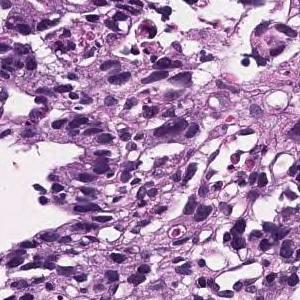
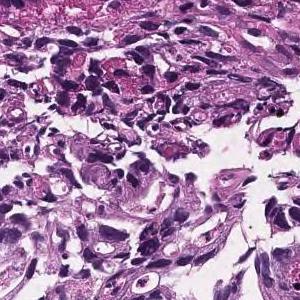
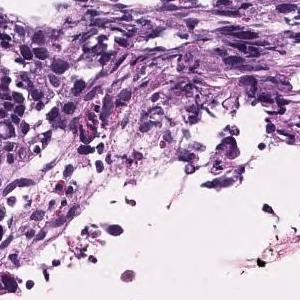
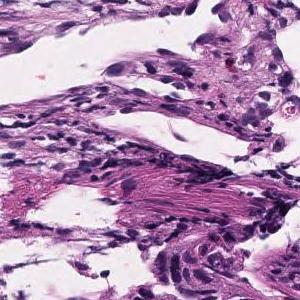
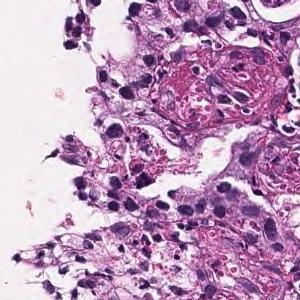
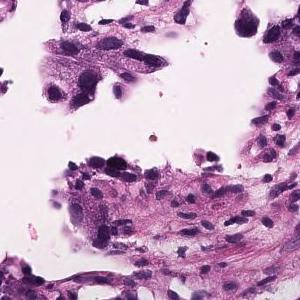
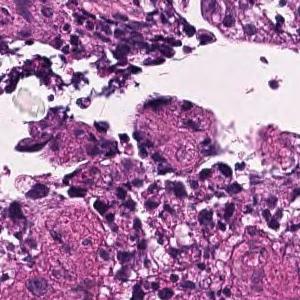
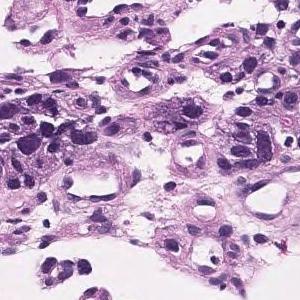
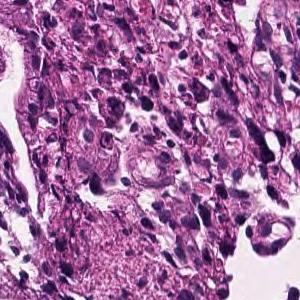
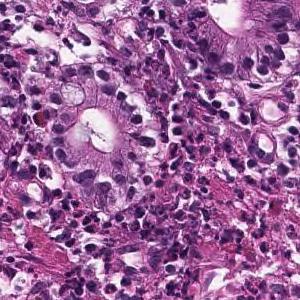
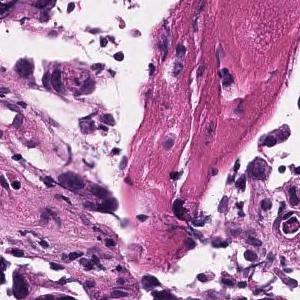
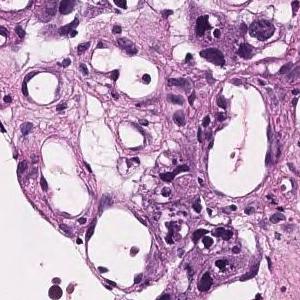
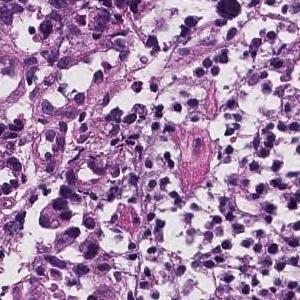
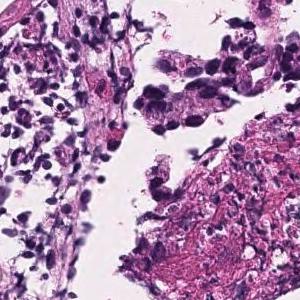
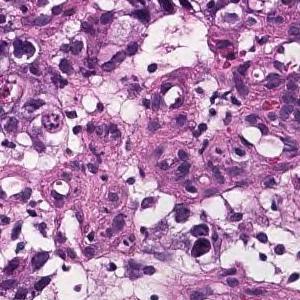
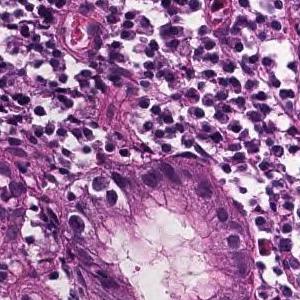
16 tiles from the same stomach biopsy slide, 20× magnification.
Pathology report for the slide these tiles were cut from. What the report and the diagnosis say applies to the whole slide; these tiles may miss some of the features named and may include tissue that is not tumor.
Tumor tissue consisting of medium-sized, cord-like or irregular glandular infiltration is observed in the superficial epithelium. Poorly differentiated adenocarcinoma, non-solid type or moderately differentiated tubular adenocarcinoma
The term "non-solid type" comes from the Japanese Classification of Gastric Carcinoma.
